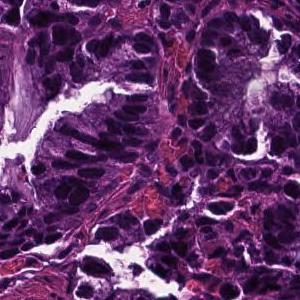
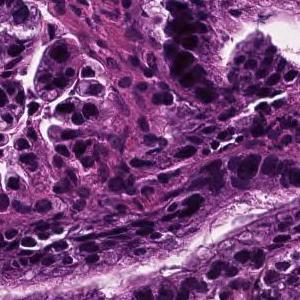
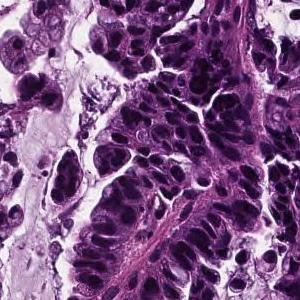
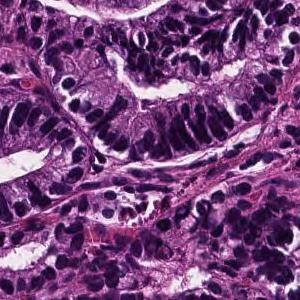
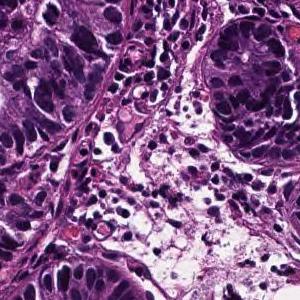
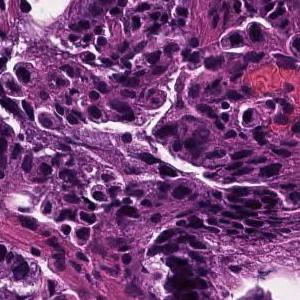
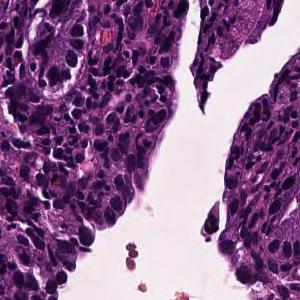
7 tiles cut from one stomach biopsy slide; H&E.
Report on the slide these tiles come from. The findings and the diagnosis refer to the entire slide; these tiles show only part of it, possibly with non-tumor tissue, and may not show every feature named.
In the superficial epithelium, tumor tissue that invades by forming medium-sized to small, irregular ducts is observed. Well differentiated tubular adenocarcinoma.
